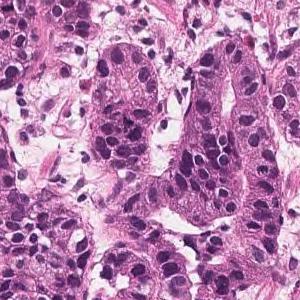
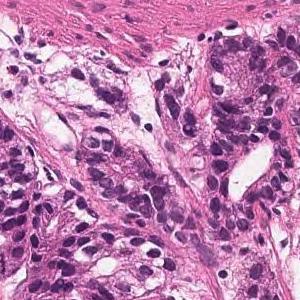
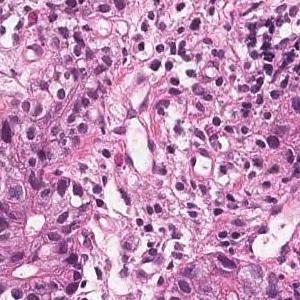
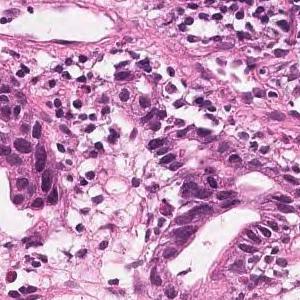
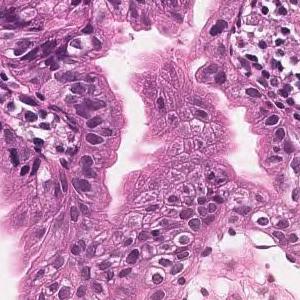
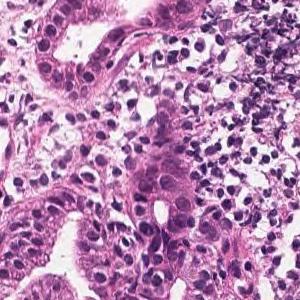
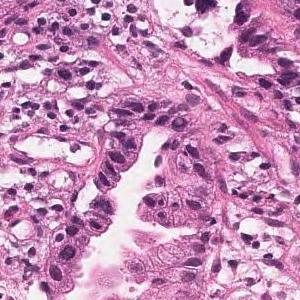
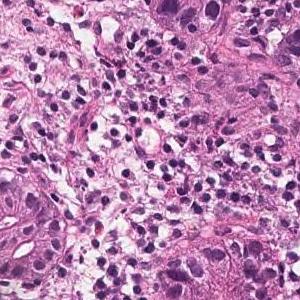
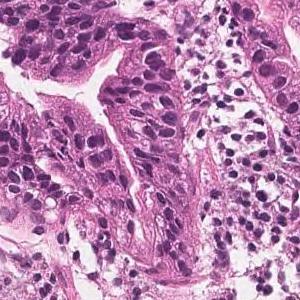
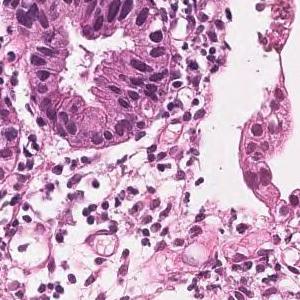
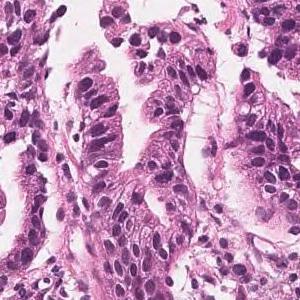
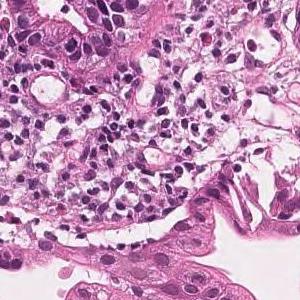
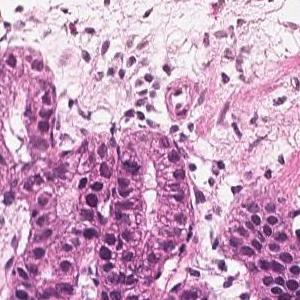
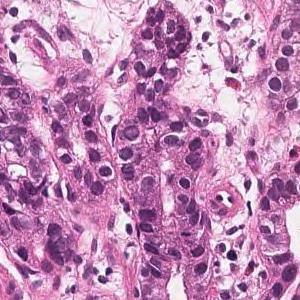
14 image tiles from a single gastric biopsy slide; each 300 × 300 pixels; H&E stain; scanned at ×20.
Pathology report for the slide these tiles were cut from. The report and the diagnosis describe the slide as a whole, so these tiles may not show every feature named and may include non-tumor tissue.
Tumor tissue consisting of medium-sized and irregular ducts is observed infiltrating in the superficial epithelium. Tumor cells are highly columnar, with nuclei aligned basolaterally and polarized. Well differentiated tubular adenocarcinoma.
